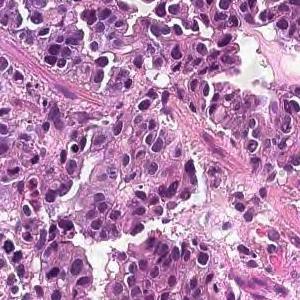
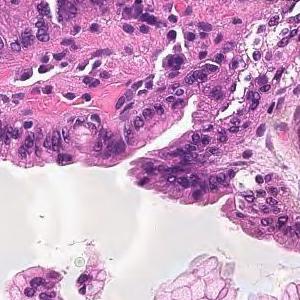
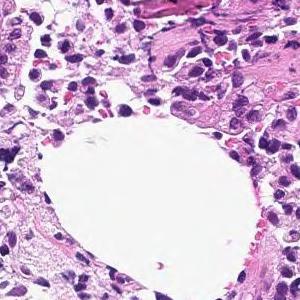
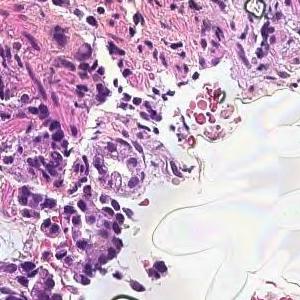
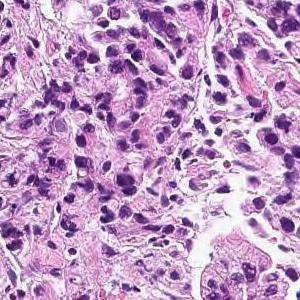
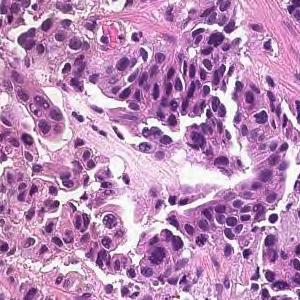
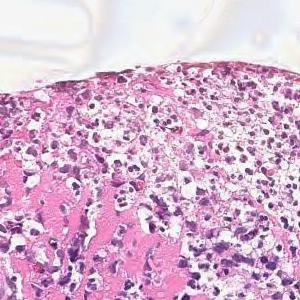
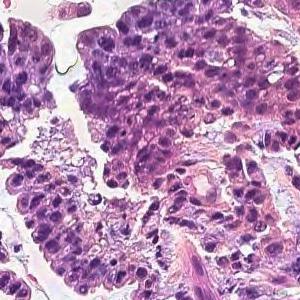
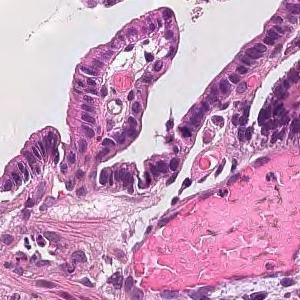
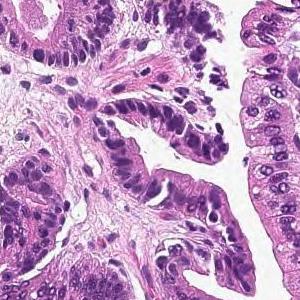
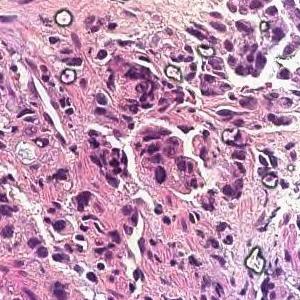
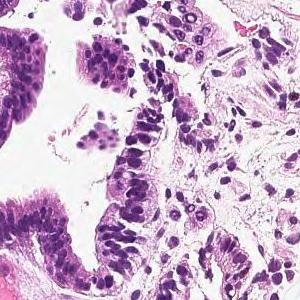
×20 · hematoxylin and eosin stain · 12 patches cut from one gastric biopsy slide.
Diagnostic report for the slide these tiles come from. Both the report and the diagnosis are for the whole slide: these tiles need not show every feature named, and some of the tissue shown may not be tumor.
Tumor tissue consisting of medium-sized, cord-like or irregular glandular infiltration is observed in the superficial epithelium. Poorly differentiated adenocarcinoma, non-solid type or moderately differentiated tubular adenocarcinoma
Histological subtype: Moderately to poorly differentiated adenocarcinoma.
The non-solid type named here is a Japanese Classification of Gastric Carcinoma category.
